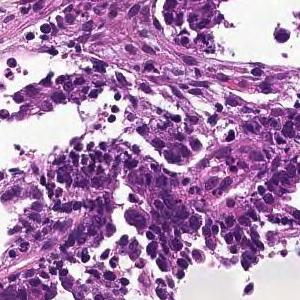
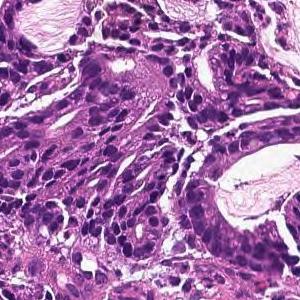
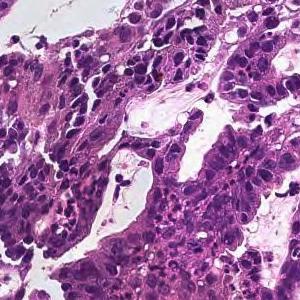
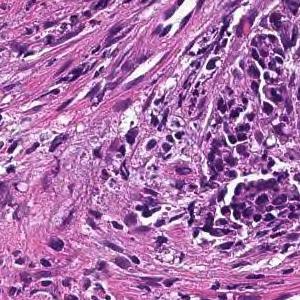
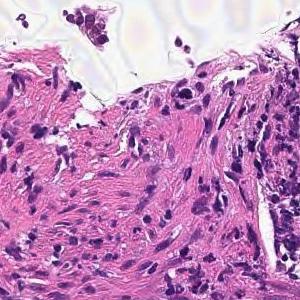
Hematoxylin and eosin stain · 5 image tiles from a single gastric biopsy slide · each 300 × 300 pixels.
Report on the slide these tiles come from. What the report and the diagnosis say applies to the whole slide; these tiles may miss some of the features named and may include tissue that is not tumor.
In the superficial epithelium, tumor tissue that invades by forming medium-sized to small, irregular ducts is observed. moderately differentiated tubular adenocarcinoma.
